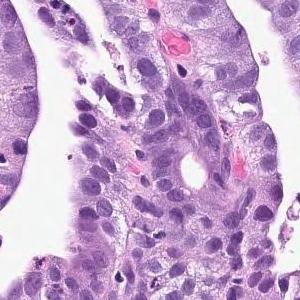
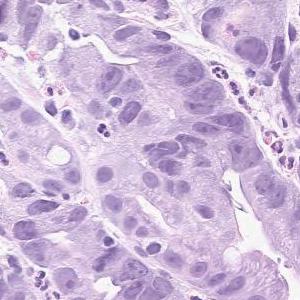
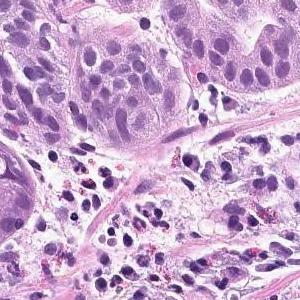
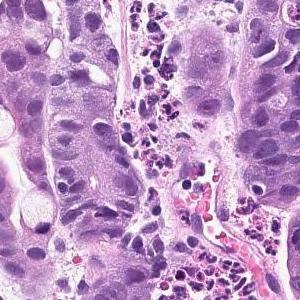
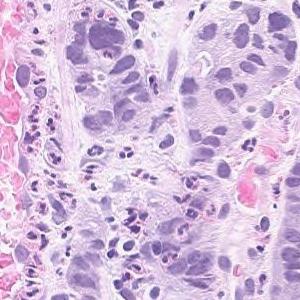
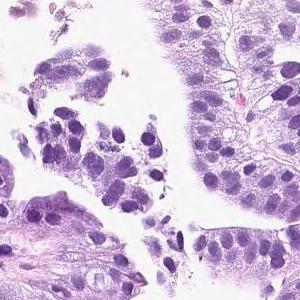
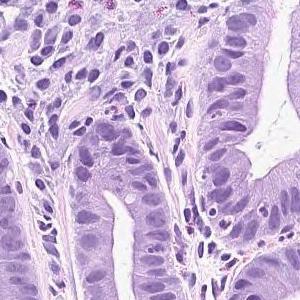
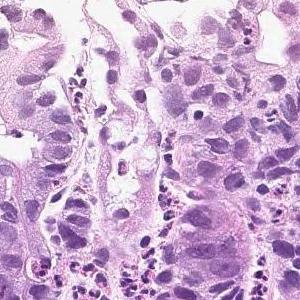
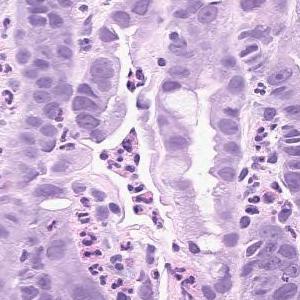
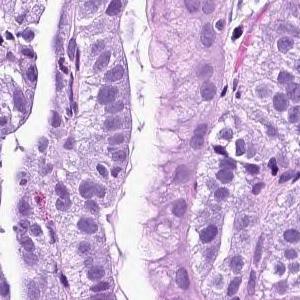
×20; hematoxylin and eosin stain; 10 tiles from the same stomach biopsy slide; 300 × 300 pixels each.
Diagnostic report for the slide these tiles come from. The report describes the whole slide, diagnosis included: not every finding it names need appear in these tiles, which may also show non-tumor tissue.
Infiltrating tumor tissue is observed in the superficial epithelium, showing large papillary structures or large and small ducts. Papillary adenocarcinoma
